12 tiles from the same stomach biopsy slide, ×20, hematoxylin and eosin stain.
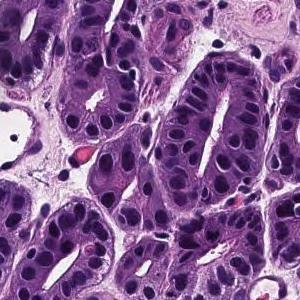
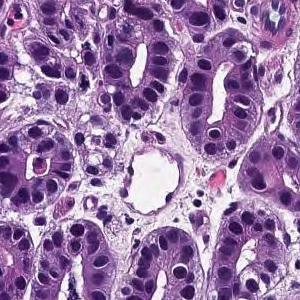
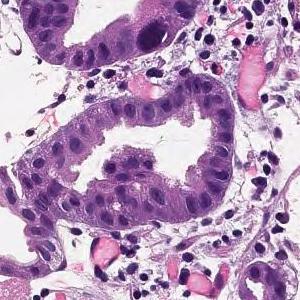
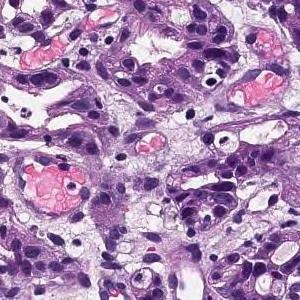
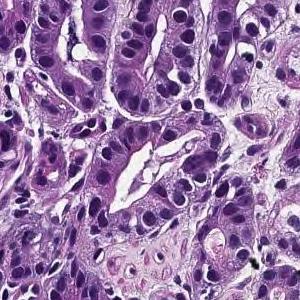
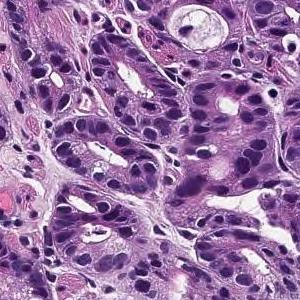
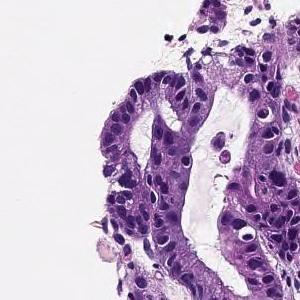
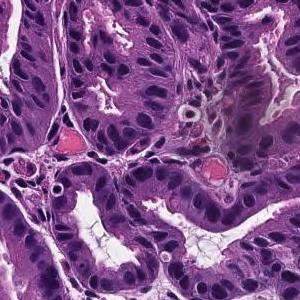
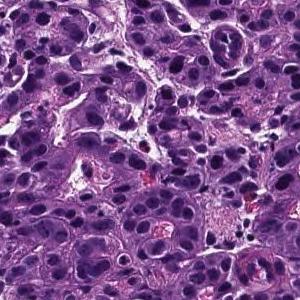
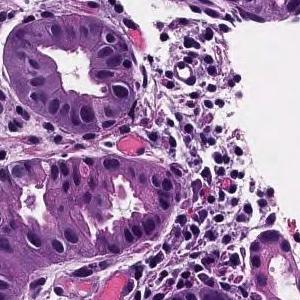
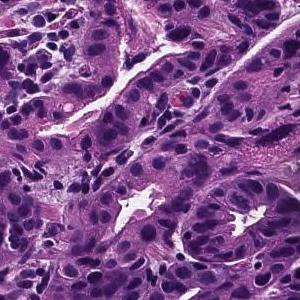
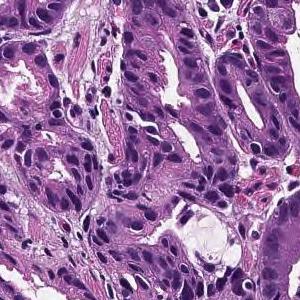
The pathologist's report on the biopsy slide these tiles were taken from. The findings and the diagnosis refer to the entire slide; these tiles show only part of it, possibly with non-tumor tissue, and may not show every feature named.
From the superficial epithelium to the muscularis mucosae, tumor tissue consisting of medium-sized and irregular glandular ducts infiltrating is observed. Well differentiated tubular adenocarcinoma
